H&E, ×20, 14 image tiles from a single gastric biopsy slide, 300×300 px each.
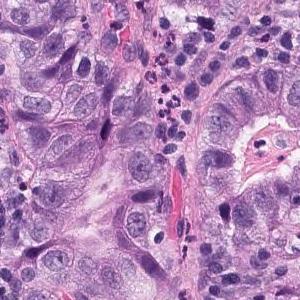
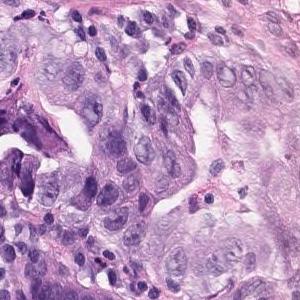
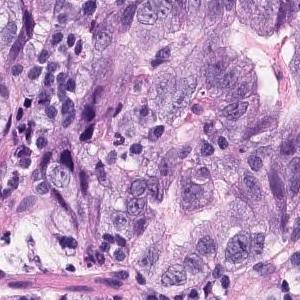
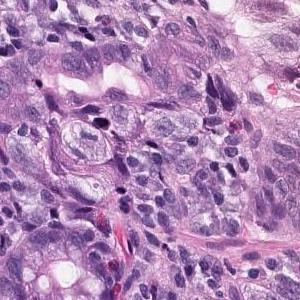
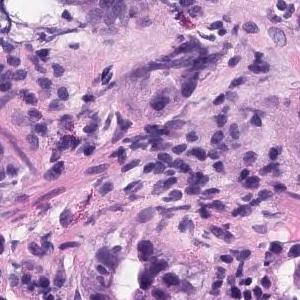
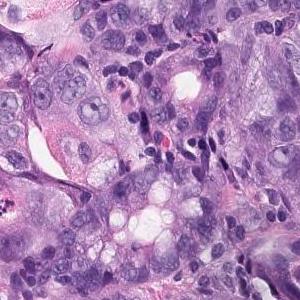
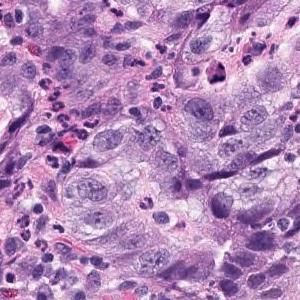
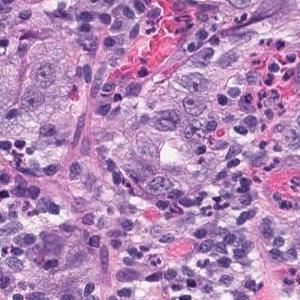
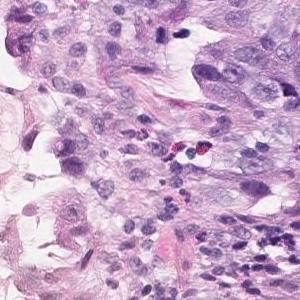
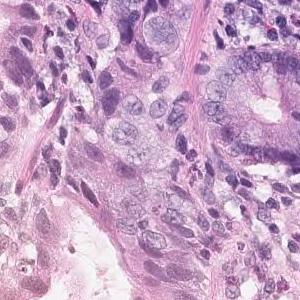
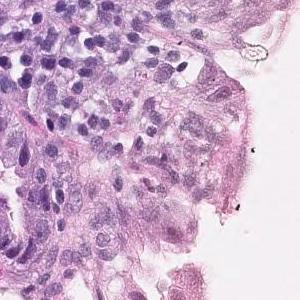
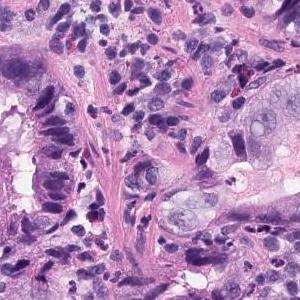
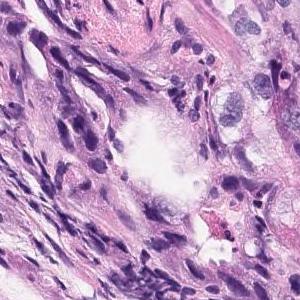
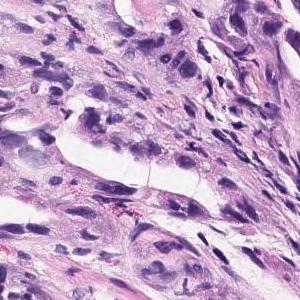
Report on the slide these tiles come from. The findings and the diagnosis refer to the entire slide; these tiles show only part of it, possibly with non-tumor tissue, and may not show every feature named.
In the superficial epithelium, tumor tissue that invades by forming medium-sized to small irregular glandular ducts is observed. Moderately differentiated adenocarcinoma.
Histologic type: Moderately differentiated tubular adenocarcinoma.
